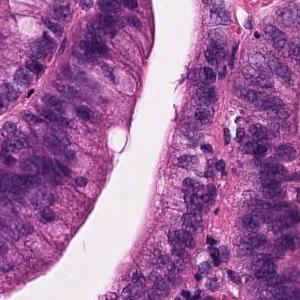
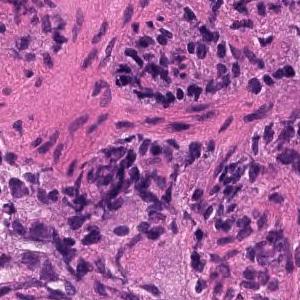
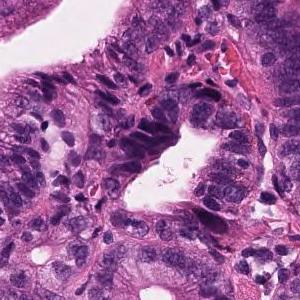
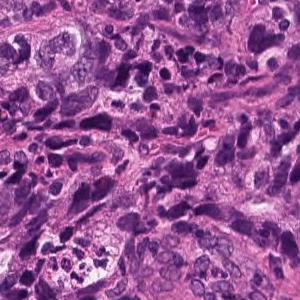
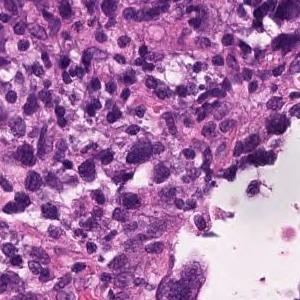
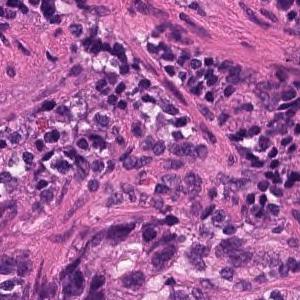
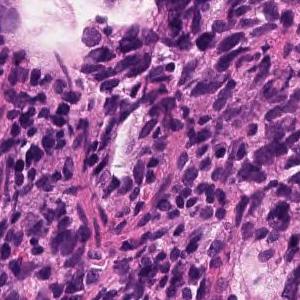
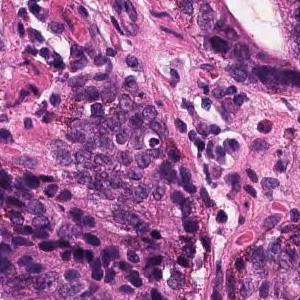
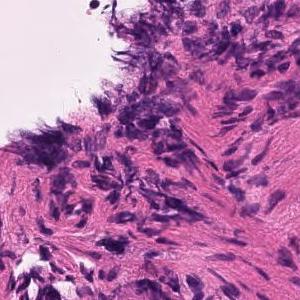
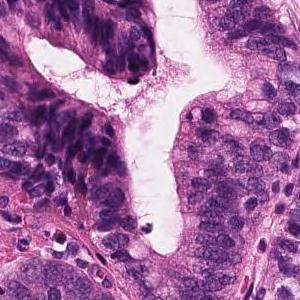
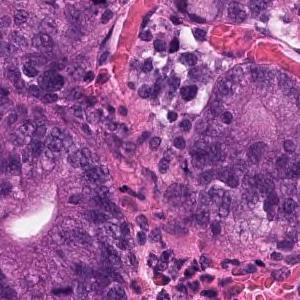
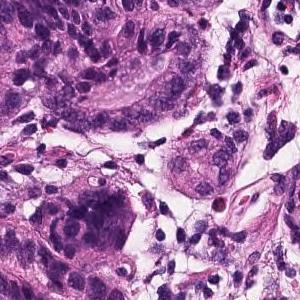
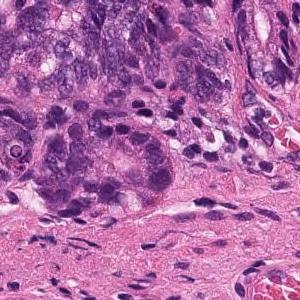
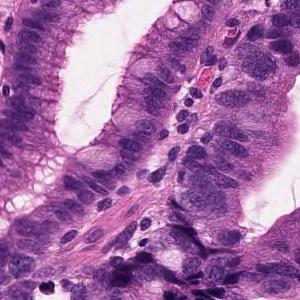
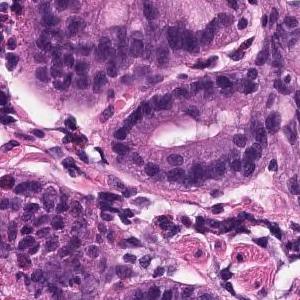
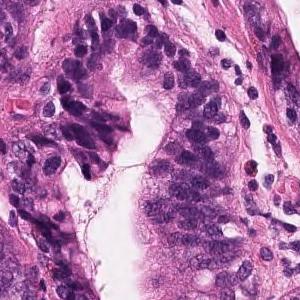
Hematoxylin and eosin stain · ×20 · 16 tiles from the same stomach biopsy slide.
Pathology report for the biopsy slide these tiles were cut from. Both the report and the diagnosis are for the whole slide: these tiles need not show every feature named, and some of the tissue shown may not be tumor.
In the superficial epithelium, tumor tissue that invades by forming medium-sized to small, irregular ducts is observed. Moderately differentiated adenocarcinoma.
Tumor subtype: moderately differentiated tubular adenocarcinoma.
